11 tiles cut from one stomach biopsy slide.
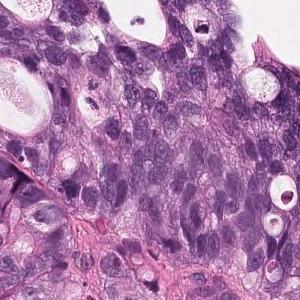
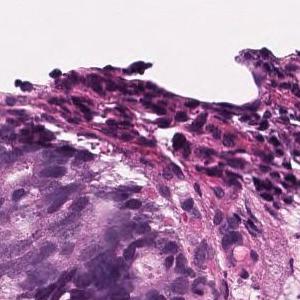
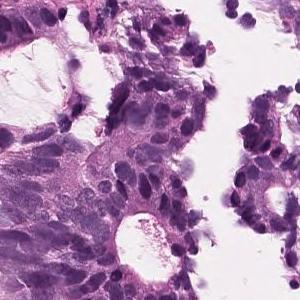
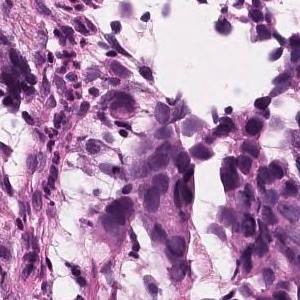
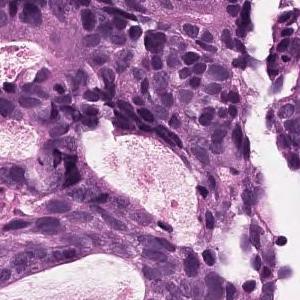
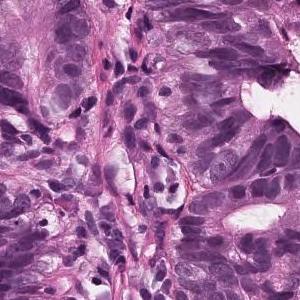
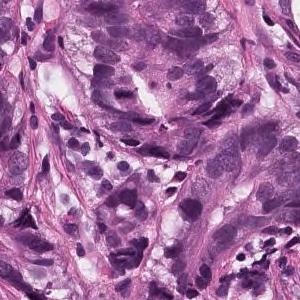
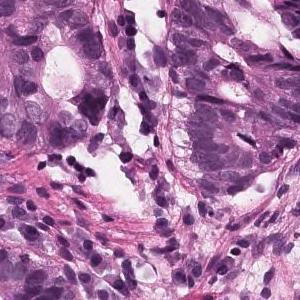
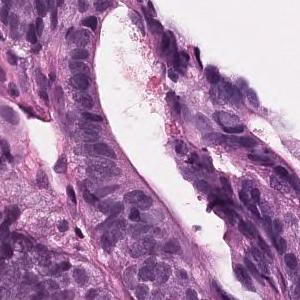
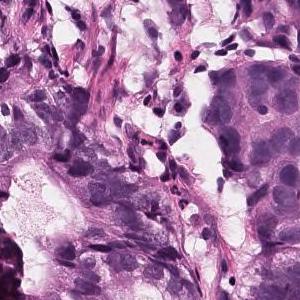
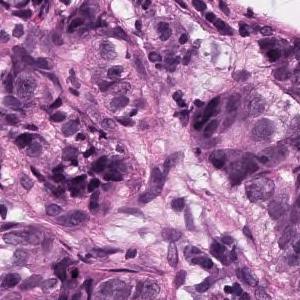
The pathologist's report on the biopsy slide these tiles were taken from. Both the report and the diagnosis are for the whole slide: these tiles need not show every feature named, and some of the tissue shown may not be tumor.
On the superficial epithelium, tumor tissue consisting of large, irregular glandular ducts partially fused and infiltrated is observed. Well to moderately differentiated tubular adenocarcinoma (well differentiated tubular adenocarcinoma, moderately differentiated tubular adenocarcinoma)
Subtype: Well to moderately differentiated tubular adenocarcinoma.
